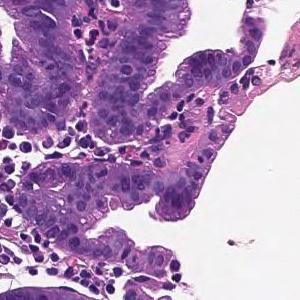
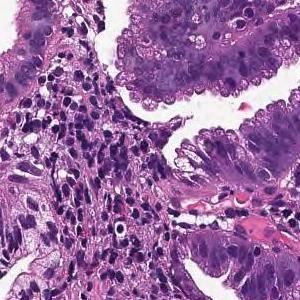
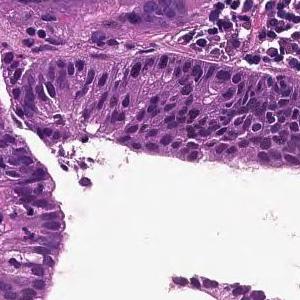
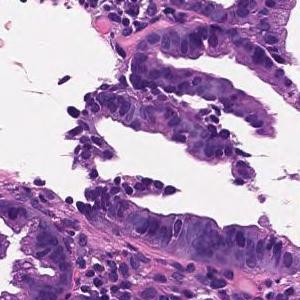
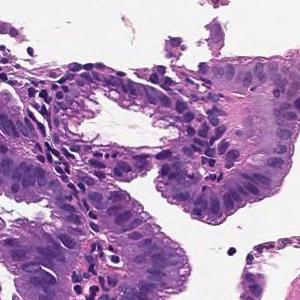
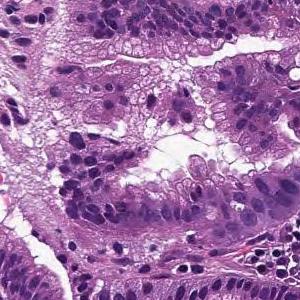
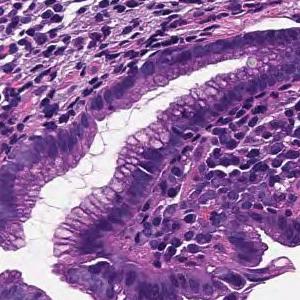
7 tiles cut from one stomach biopsy slide, each 300 × 300 pixels, H&E stain, 20× magnification.
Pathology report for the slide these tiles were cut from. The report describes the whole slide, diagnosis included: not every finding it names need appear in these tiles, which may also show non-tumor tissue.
From the superficial epithelium to the muscularis mucosae, tumor tissue consisting of medium-sized and irregular glandular ducts infiltrating is observed. Well differentiated tubular adenocarcinoma
